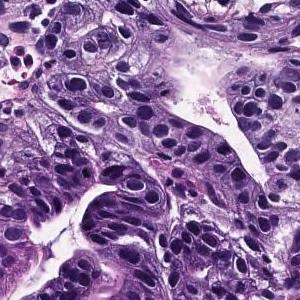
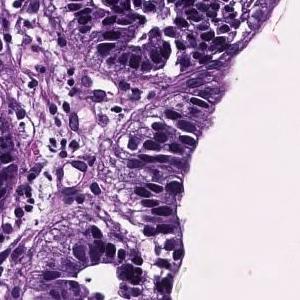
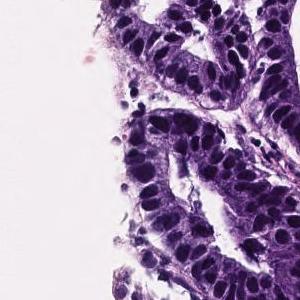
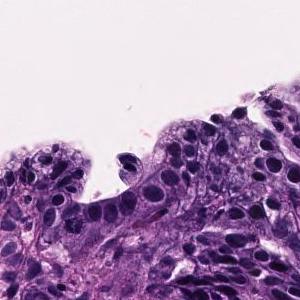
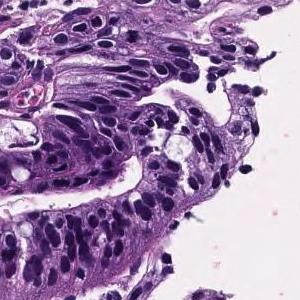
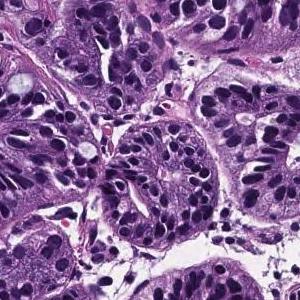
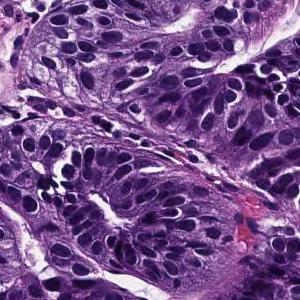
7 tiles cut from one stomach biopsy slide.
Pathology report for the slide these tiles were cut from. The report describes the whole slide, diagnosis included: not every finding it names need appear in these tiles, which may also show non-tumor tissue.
On the superficial epithelium, tumor tissue consisting of medium-sized to large-sized, round or irregular glandular duct growth images is observed. Well differentiated tubular adenocarcinoma
